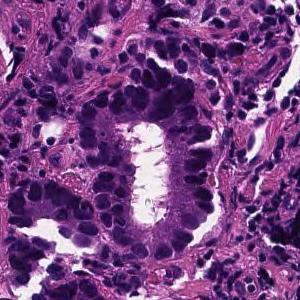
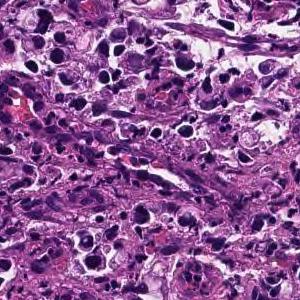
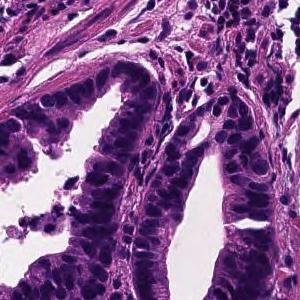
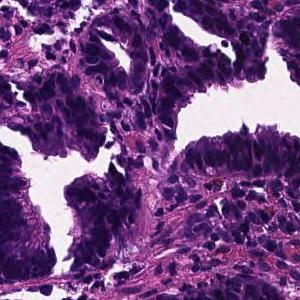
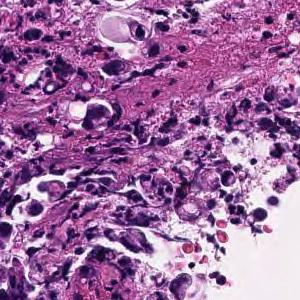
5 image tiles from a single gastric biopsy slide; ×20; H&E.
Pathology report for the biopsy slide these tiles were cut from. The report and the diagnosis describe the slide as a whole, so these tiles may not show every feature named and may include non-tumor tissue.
On the superficial epithelium, tumor tissue that infiltrates by forming medium-sized papillary or small irregular ducts is observed. Papillary adenocarcinoma
